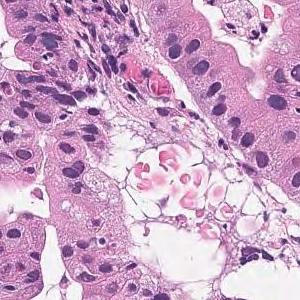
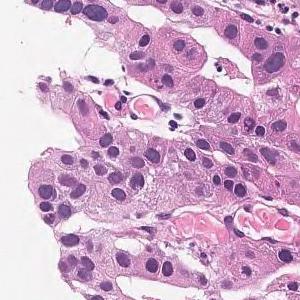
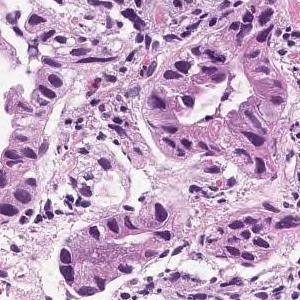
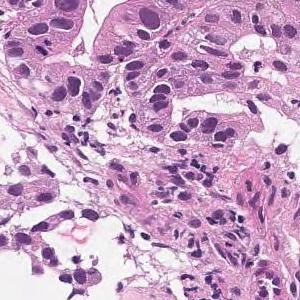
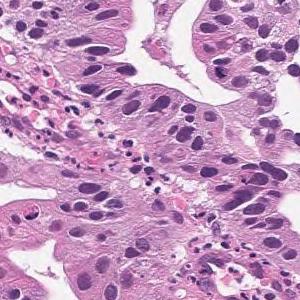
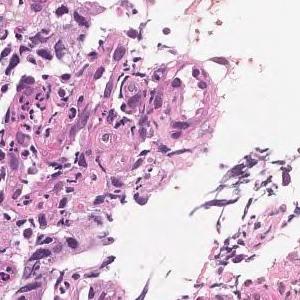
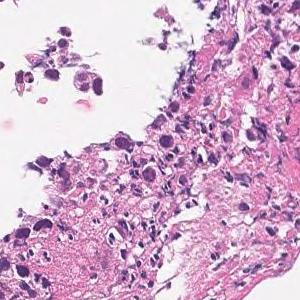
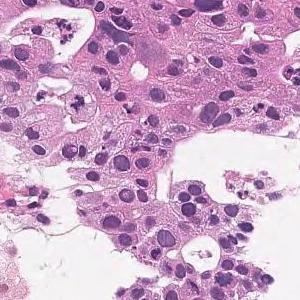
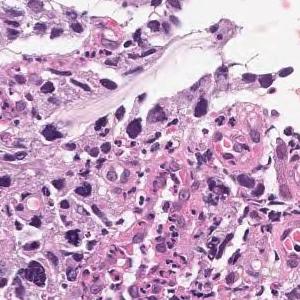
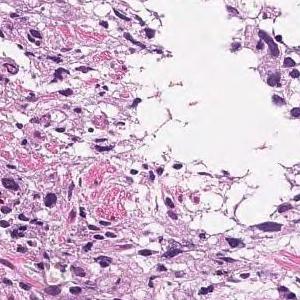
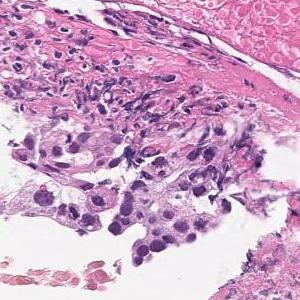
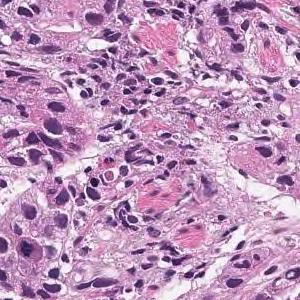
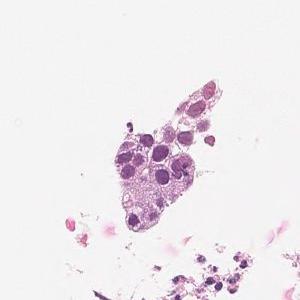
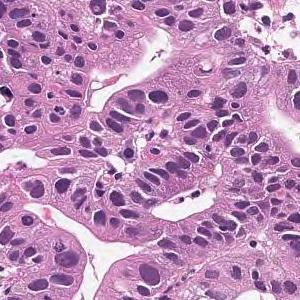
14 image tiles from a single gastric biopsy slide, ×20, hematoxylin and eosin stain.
Report on the slide these tiles come from. The report and the diagnosis describe the slide as a whole, so these tiles may not show every feature named and may include non-tumor tissue.
Tumor tissue that grows by forming gland ducts from the surface layer to the submucosa is observed. moderately differentiated tubular adenocarcinoma
